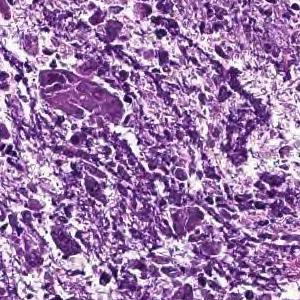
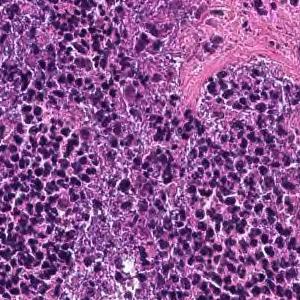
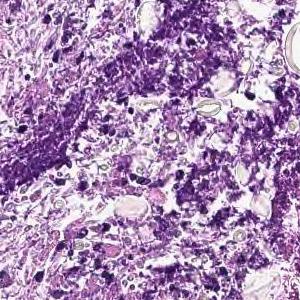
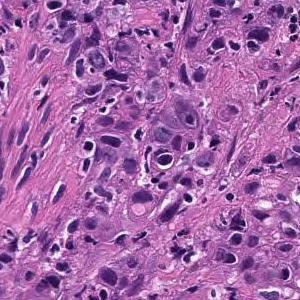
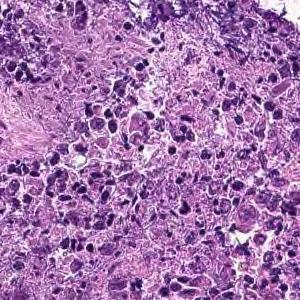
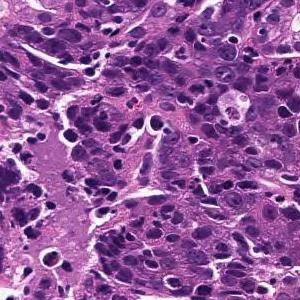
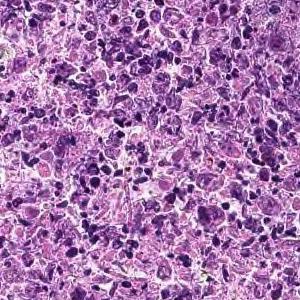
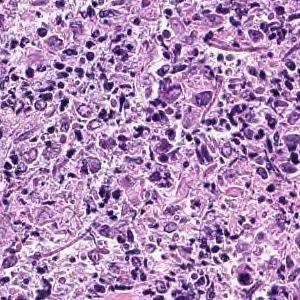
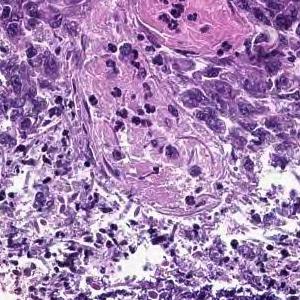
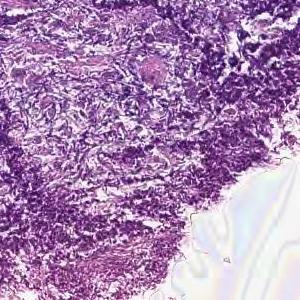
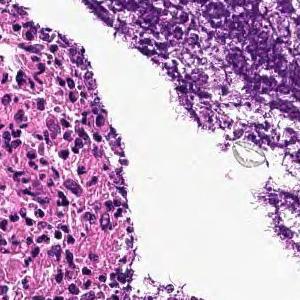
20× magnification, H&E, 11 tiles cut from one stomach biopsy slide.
The pathologist's report on the biopsy slide these tiles were taken from. What the report and the diagnosis say applies to the whole slide; these tiles may miss some of the features named and may include tissue that is not tumor.
Cancers with polygonal nuclei do not show glandular formation and are densely, in part, cord-like and proliferate. Poorly differentiated adenocarcinoma
Histological subtype: Poorly differentiated adenocarcinoma, non-solid type.
"Non-solid type" is a category of the Japanese Classification of Gastric Carcinoma.
